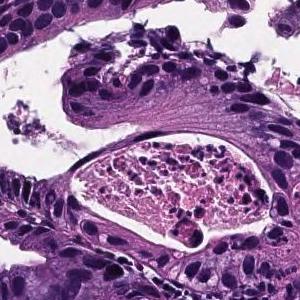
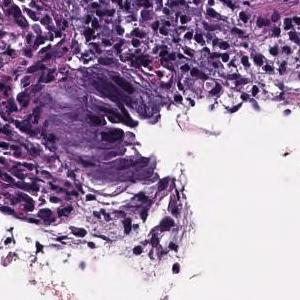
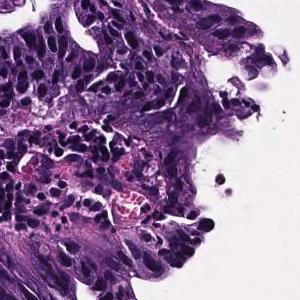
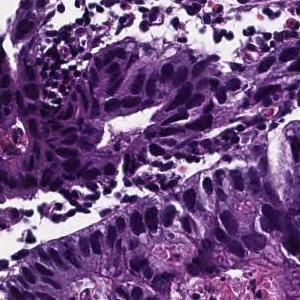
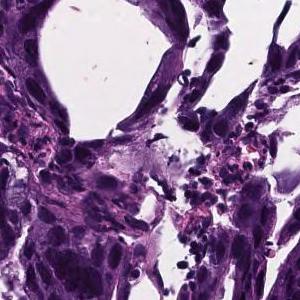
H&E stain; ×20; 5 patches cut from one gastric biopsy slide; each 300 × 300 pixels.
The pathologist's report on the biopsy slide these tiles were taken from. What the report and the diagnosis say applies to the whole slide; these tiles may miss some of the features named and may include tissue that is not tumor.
In the superficial epithelium, tumor tissue that invades by forming medium-sized to small, irregular ducts is observed. Moderately differentiated adenocarcinoma.
Histologic type: Moderately differentiated tubular adenocarcinoma.
